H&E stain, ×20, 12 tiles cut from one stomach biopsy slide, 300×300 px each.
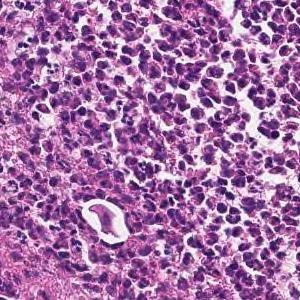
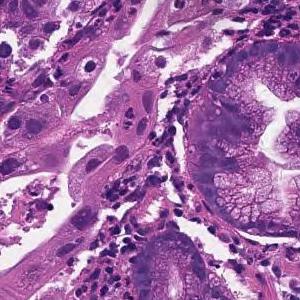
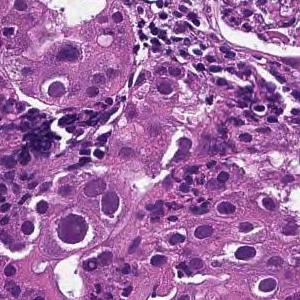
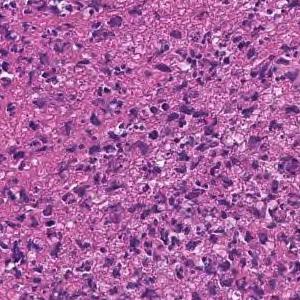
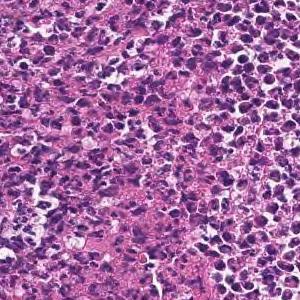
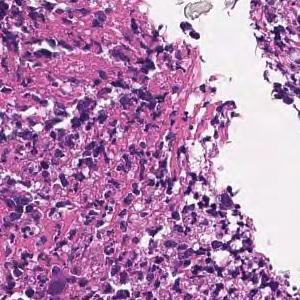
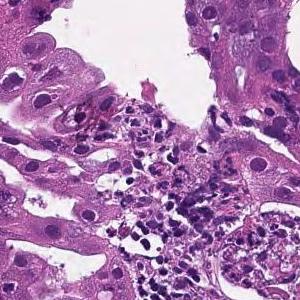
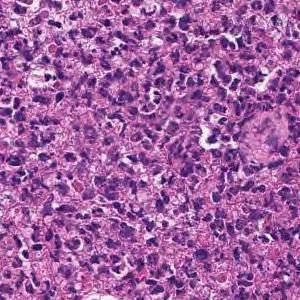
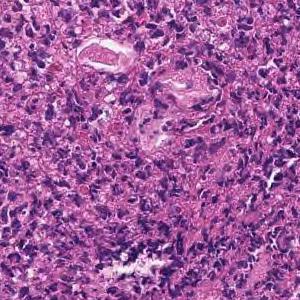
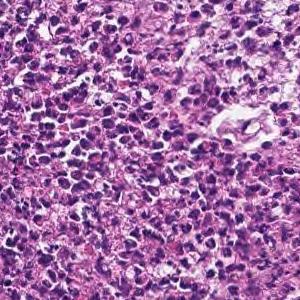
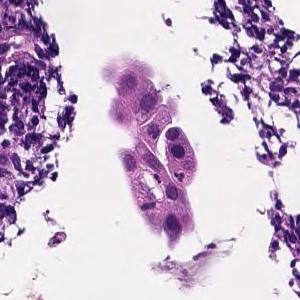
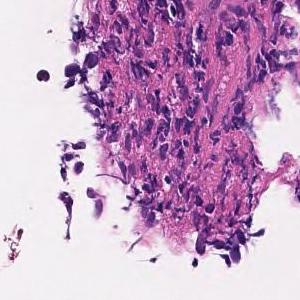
Pathology report for the slide these tiles were cut from. The report describes the whole slide, diagnosis included: not every finding it names need appear in these tiles, which may also show non-tumor tissue.
In the superficial epithelium, tumor tissue infiltrated by partial fusion of medium-sized to small, irregular glandular ducts is observed. moderately differentiated tubular adenocarcinoma
